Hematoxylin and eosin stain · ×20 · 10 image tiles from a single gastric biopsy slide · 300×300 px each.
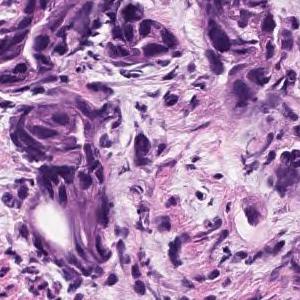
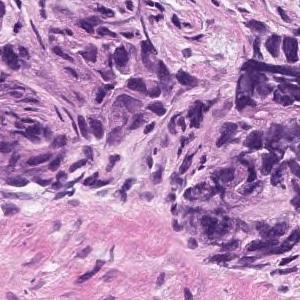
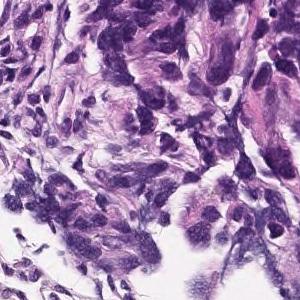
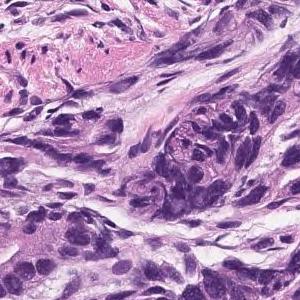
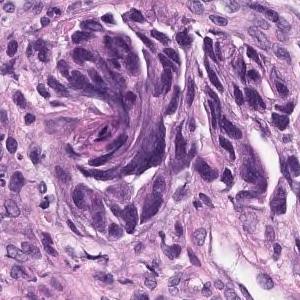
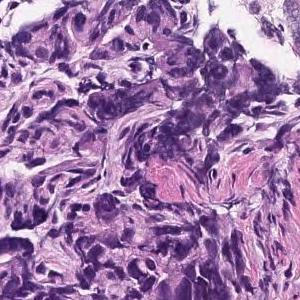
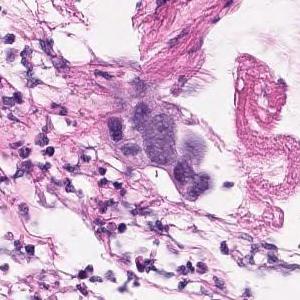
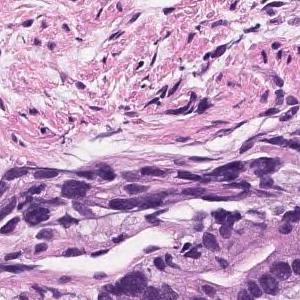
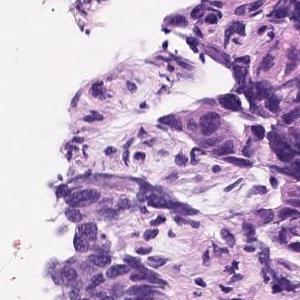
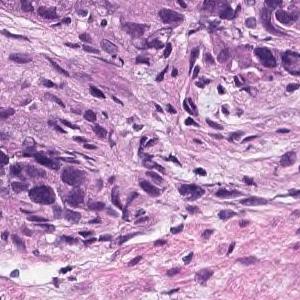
Pathology report for the biopsy slide these tiles were cut from. The findings and the diagnosis refer to the entire slide; these tiles show only part of it, possibly with non-tumor tissue, and may not show every feature named.
Atypical l cells with atypical nuclei under the mucosa growing in isolation and scattered. Moderately to poorly differentiated adenocarcinoma (moderately differentiated tubular adenocarcinoma poorly differentiated adenocarcinoma, solid type)
Classified as moderately to poorly differentiated adenocarcinoma.
The term "solid type" comes from the Japanese Classification of Gastric Carcinoma; the WHO 2019 equivalent is tubular adenocarcinoma, poorly differentiated.
